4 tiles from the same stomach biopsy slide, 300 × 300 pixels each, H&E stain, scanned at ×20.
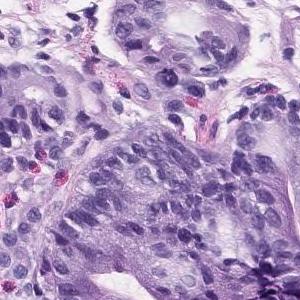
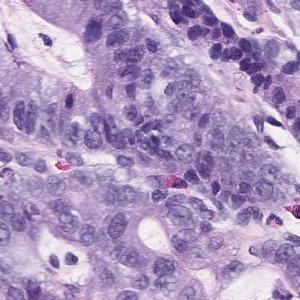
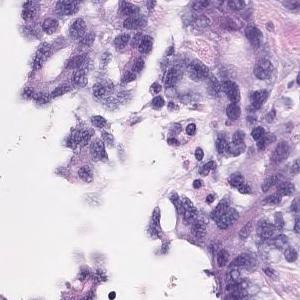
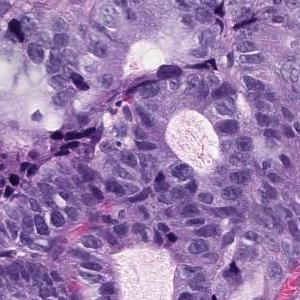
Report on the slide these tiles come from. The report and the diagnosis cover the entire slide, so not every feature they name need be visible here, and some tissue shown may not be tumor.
In the superficial epithelium, tumor tissue that invades by forming medium-sized to small, irregular ducts is observed. Well to moderately differentiated tubular adenocarcinoma.
